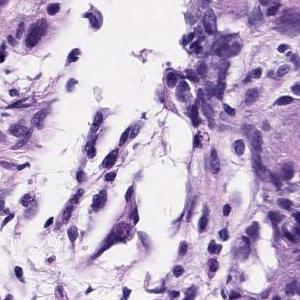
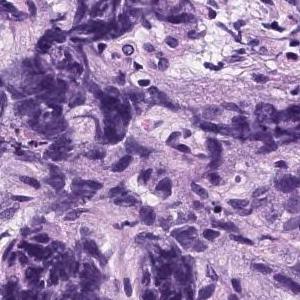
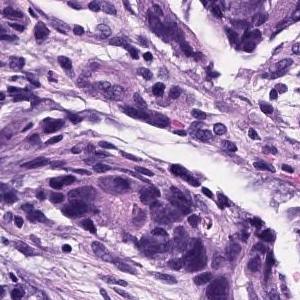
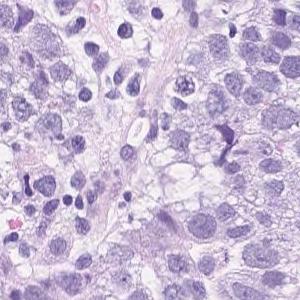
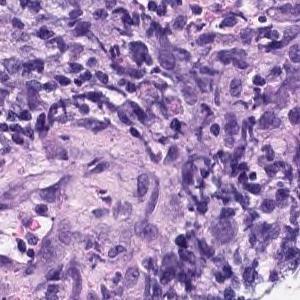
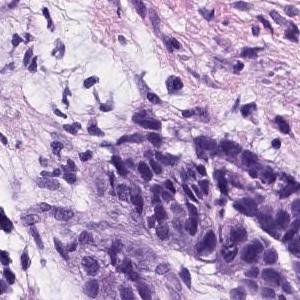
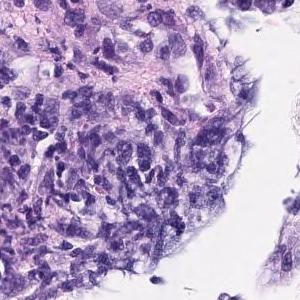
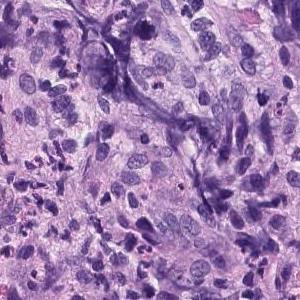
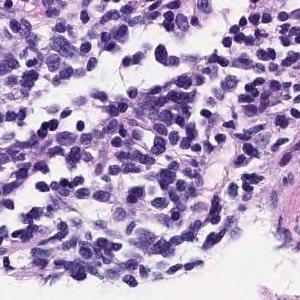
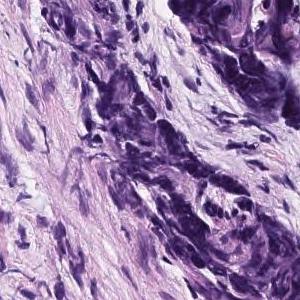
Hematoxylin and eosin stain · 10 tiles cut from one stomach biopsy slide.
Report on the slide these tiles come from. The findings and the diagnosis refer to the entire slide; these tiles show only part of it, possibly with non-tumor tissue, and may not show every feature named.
Atypical epithelial cells with an increased N/C ratio proliferate and consist of a part that shows the formation of gland ducts and a part that shows solid growth. Poorly differentiated adenocarcinoma, solid-type
Histological subtype: Poorly differentiated adenocarcinoma, solid type. This name comes from the Japanese Classification of Gastric Carcinoma; the WHO 2019 classification calls it tubular adenocarcinoma, poorly differentiated.
